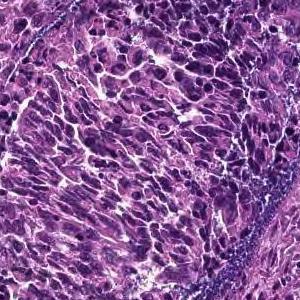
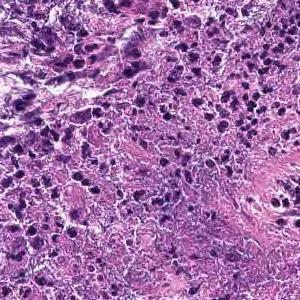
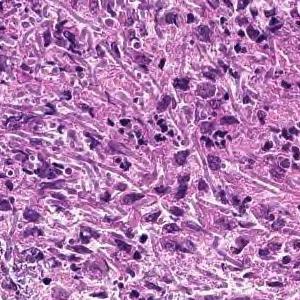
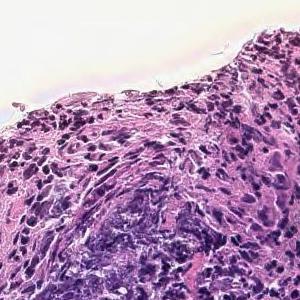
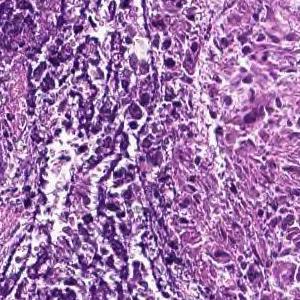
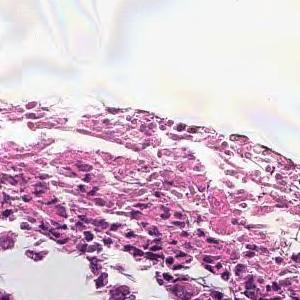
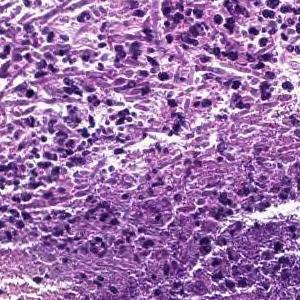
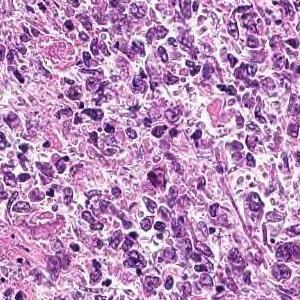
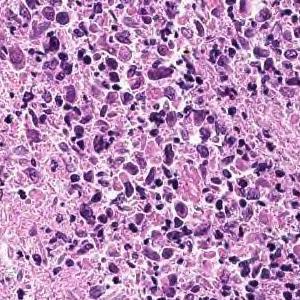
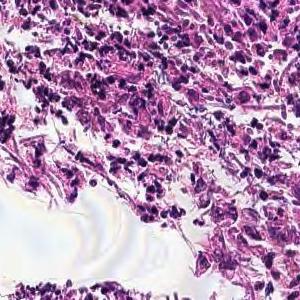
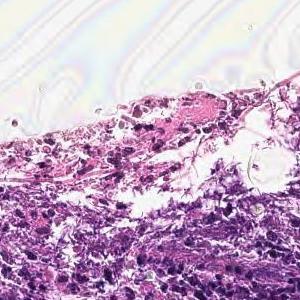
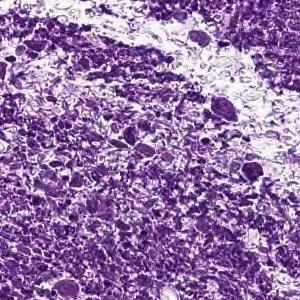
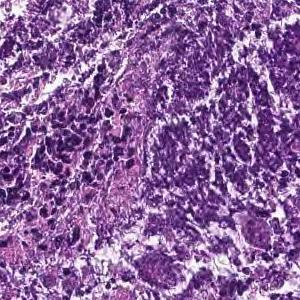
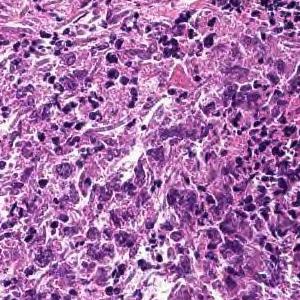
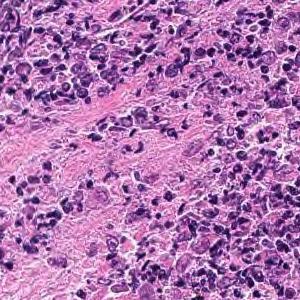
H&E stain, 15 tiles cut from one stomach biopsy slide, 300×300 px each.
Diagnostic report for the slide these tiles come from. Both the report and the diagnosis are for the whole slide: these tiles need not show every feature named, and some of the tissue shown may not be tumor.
Cancers with polygonal nuclei do not show glandular formation and are densely, in part, cord-like and proliferate. Poorly differentiated adenocarcinoma
Tumor subtype: poorly differentiated adenocarcinoma, non-solid type.
"Non-solid type" is a category of the Japanese Classification of Gastric Carcinoma.
